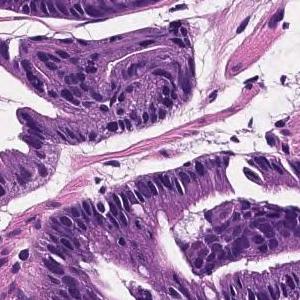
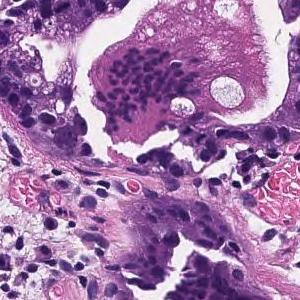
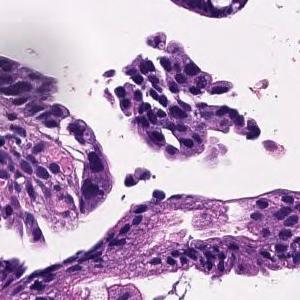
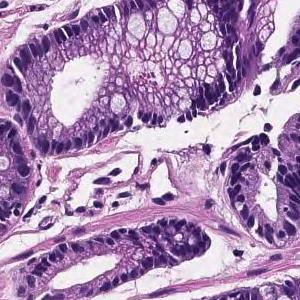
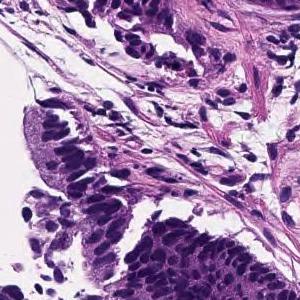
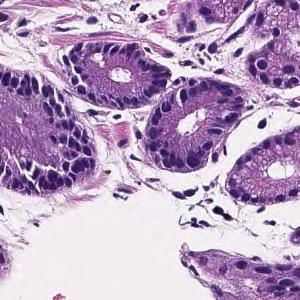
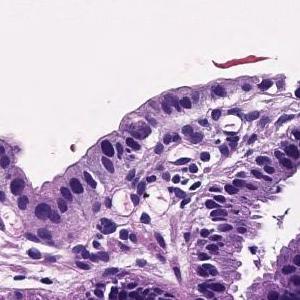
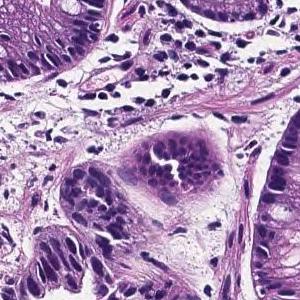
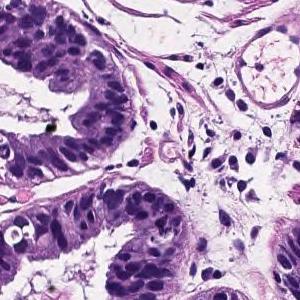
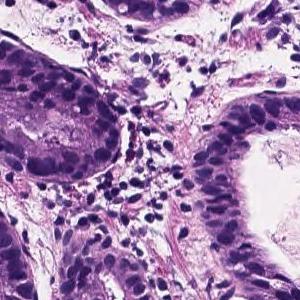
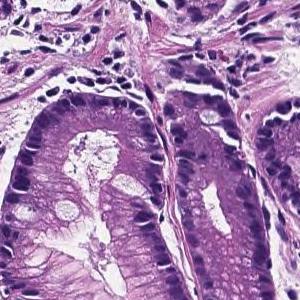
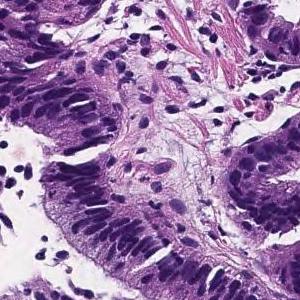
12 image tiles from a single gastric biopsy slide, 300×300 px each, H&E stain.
Diagnostic report for the slide these tiles come from. Both the report and the diagnosis are for the whole slide: these tiles need not show every feature named, and some of the tissue shown may not be tumor.
Tumor cells are large, highly columnar, large club-shaped nuclei, and are associated with chromatin aggregation. Papillary adenocarcinoma.
